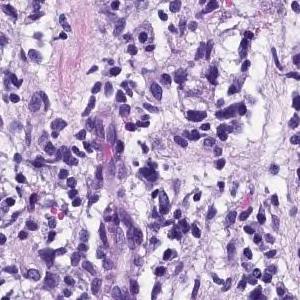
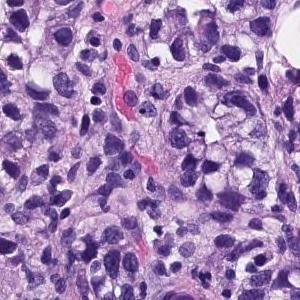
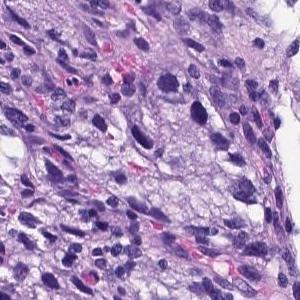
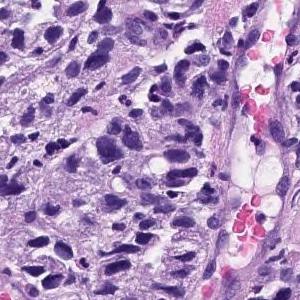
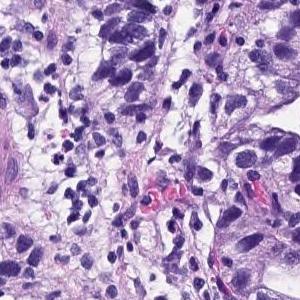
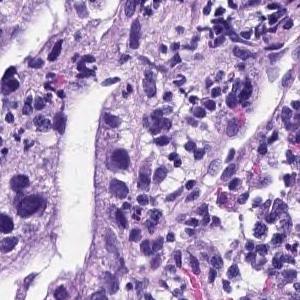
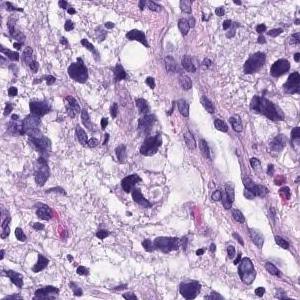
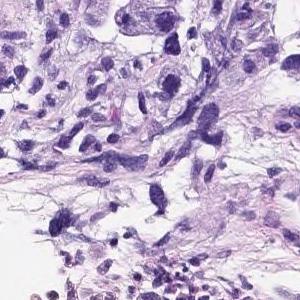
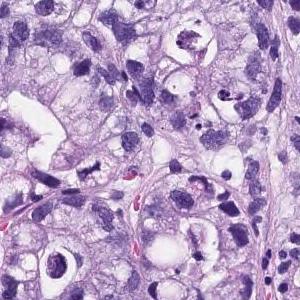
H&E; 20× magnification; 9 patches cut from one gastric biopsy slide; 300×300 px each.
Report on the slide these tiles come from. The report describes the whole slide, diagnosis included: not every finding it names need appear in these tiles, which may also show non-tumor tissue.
Medium to small, irregular glandular ducts are formed in the superficial epithelium, and in some cases, the glandular ducts are fused to show solid alveolar lesions and infiltrating tumor tissue is observed. Poorly differentiated adenocarcinoma, Moderately differentiated adenocarcinoma.
The dataset labels this slide moderately differentiated tubular adenocarcinoma.
